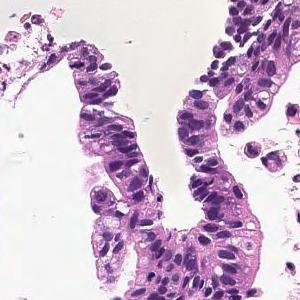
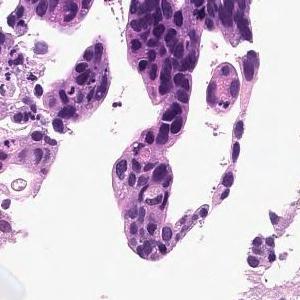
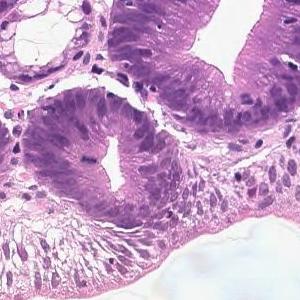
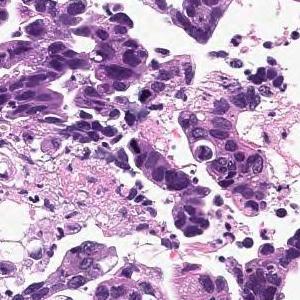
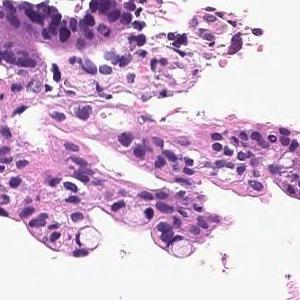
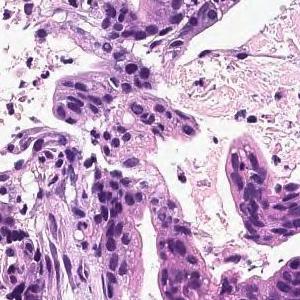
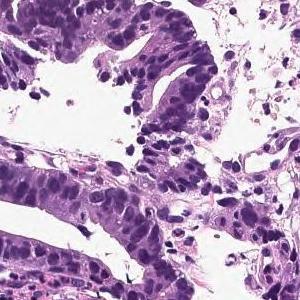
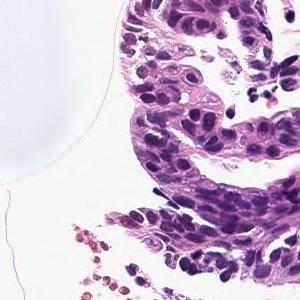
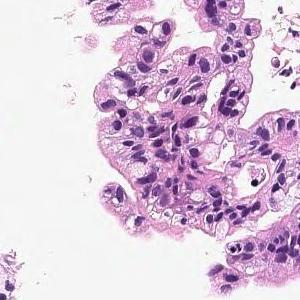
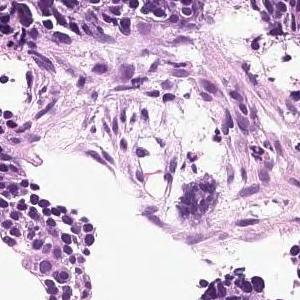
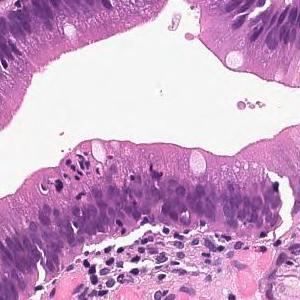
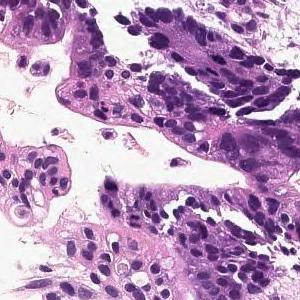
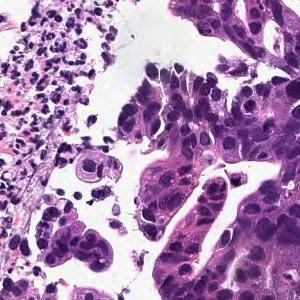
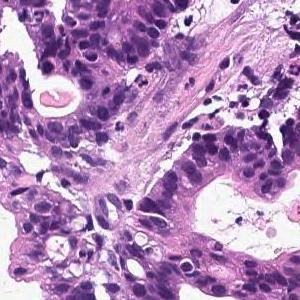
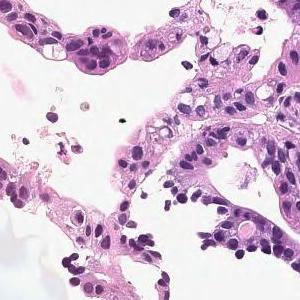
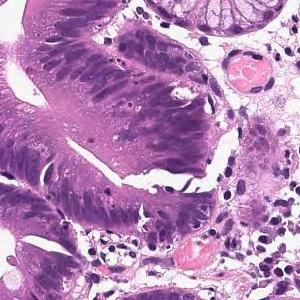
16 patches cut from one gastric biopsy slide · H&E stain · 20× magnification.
Pathology report for the biopsy slide these tiles were cut from. The report describes the whole slide, diagnosis included: not every finding it names need appear in these tiles, which may also show non-tumor tissue.
In the superficial epithelium, tumor tissue that invades by forming medium-sized to small, irregular ducts is observed. moderately differentiated tubular adenocarcinoma.
